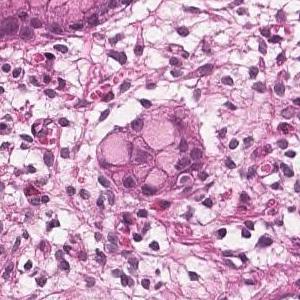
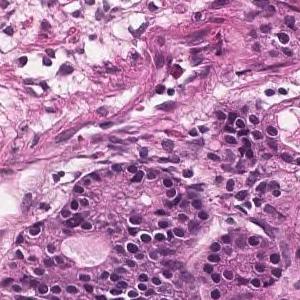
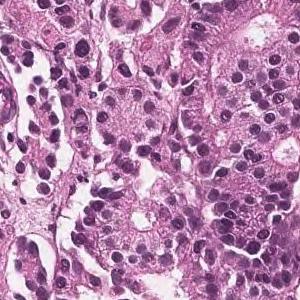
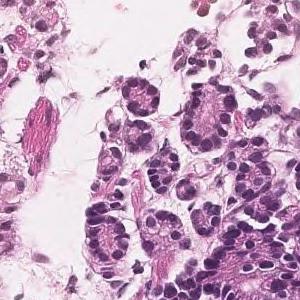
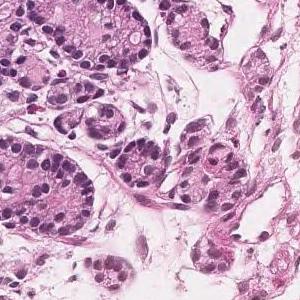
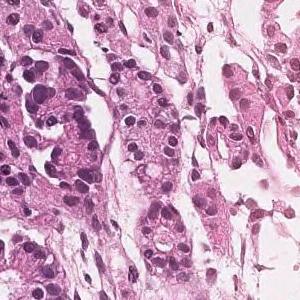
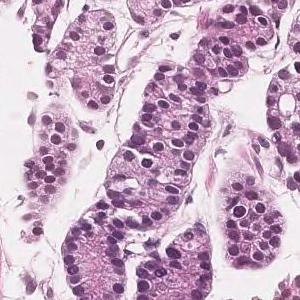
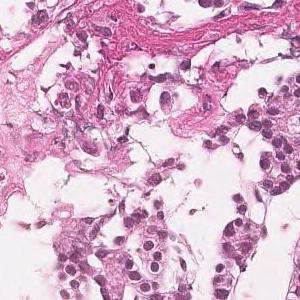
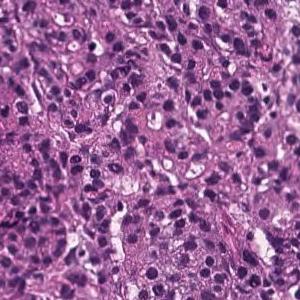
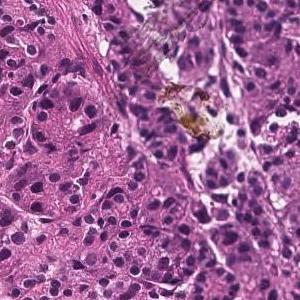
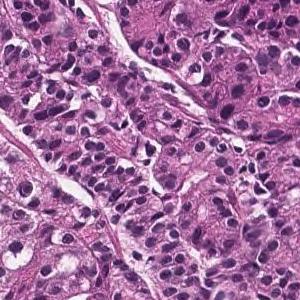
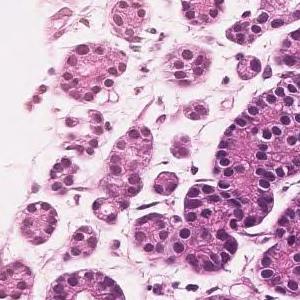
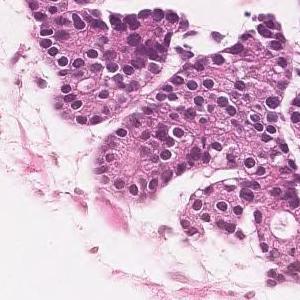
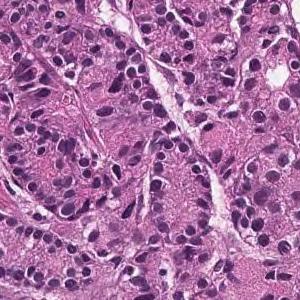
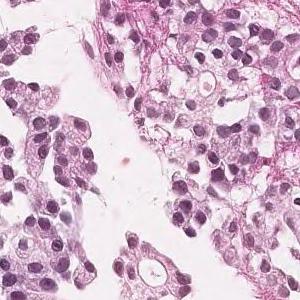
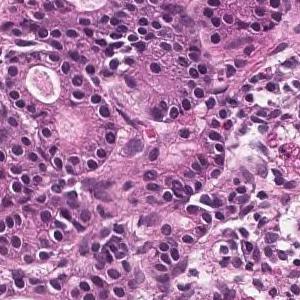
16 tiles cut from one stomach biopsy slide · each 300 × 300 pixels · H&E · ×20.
Pathology report for the slide these tiles were cut from. The findings and the diagnosis refer to the entire slide; these tiles show only part of it, possibly with non-tumor tissue, and may not show every feature named.
In the superficial epithelium, tumor tissue that invades by forming medium-sized to small, irregular ducts is observed. Moderately differentiated adenocarcinoma.
Histologic type: Moderately differentiated tubular adenocarcinoma.
